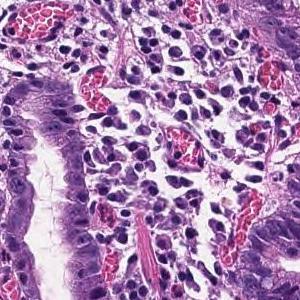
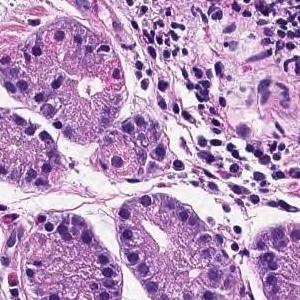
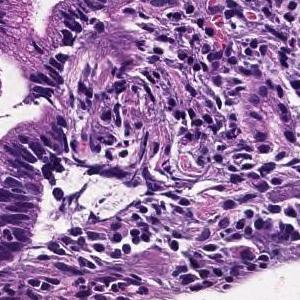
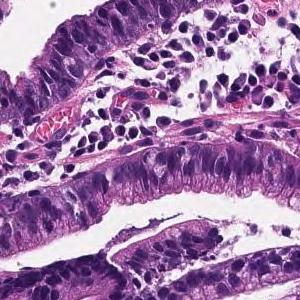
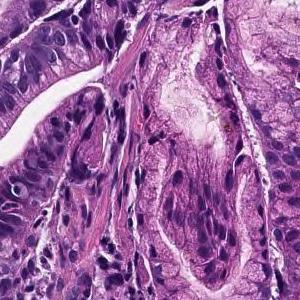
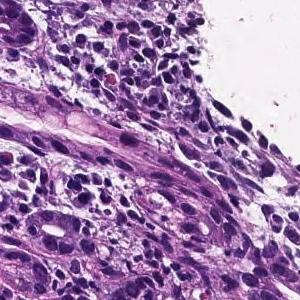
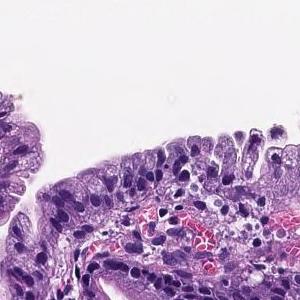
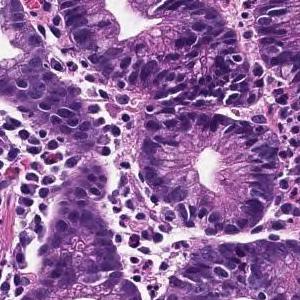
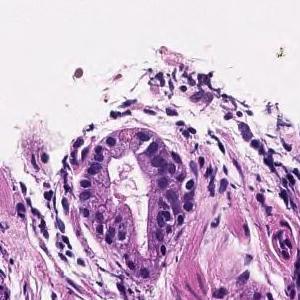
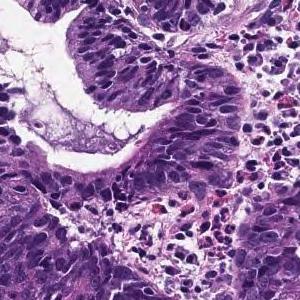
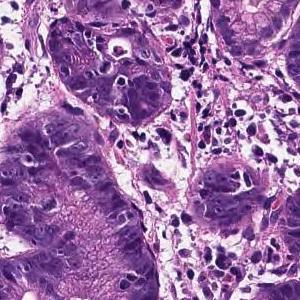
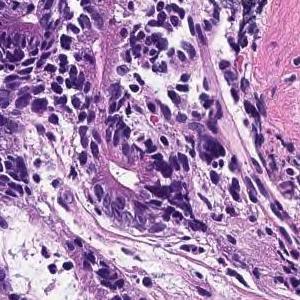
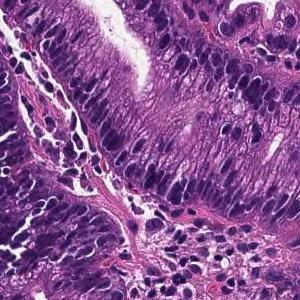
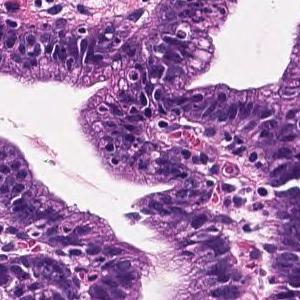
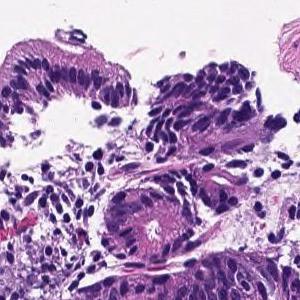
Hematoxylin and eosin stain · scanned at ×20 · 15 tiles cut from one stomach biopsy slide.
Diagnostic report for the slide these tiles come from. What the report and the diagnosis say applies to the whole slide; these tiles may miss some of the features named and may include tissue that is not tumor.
From the superficial epithelium to the muscularis mucosae, tumor tissue consisting of medium-sized and irregular glandular ducts infiltrating is observed. Well differentiated tubular adenocarcinoma
